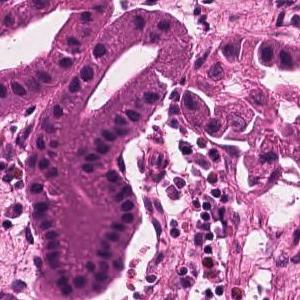
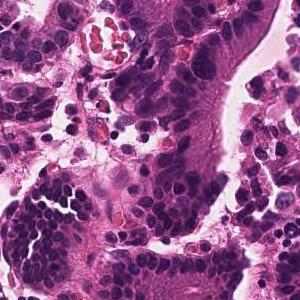
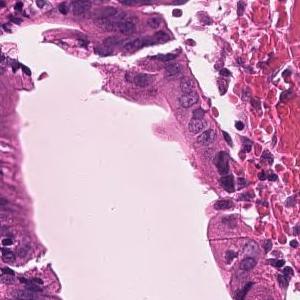
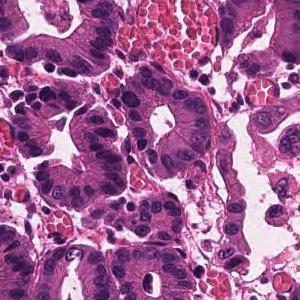
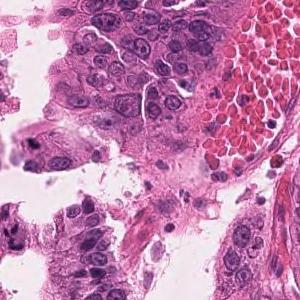
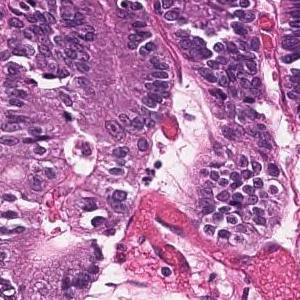
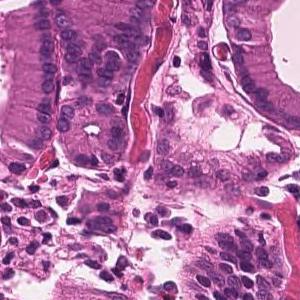
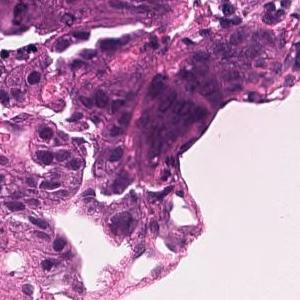
8 tiles cut from one stomach biopsy slide; ×20; hematoxylin and eosin stain.
The pathologist's report on the biopsy slide these tiles were taken from. Both the report and the diagnosis are for the whole slide: these tiles need not show every feature named, and some of the tissue shown may not be tumor.
Infiltrating tumor tissue with medium-sized, irregular ductal structure or large papillary appearance is observed. Well differentiated tubular adenocarcinoma
